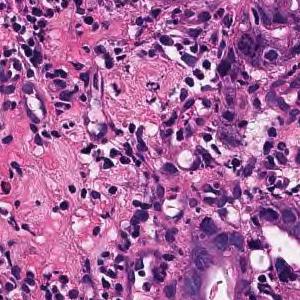
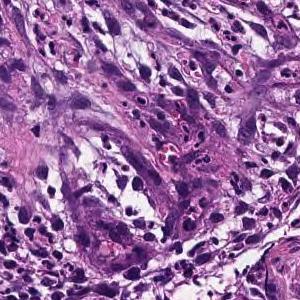
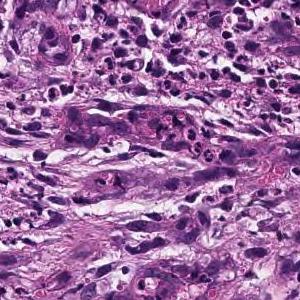
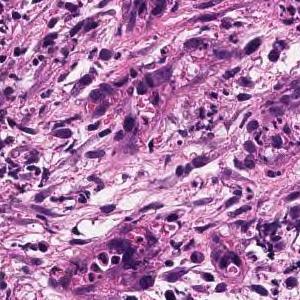
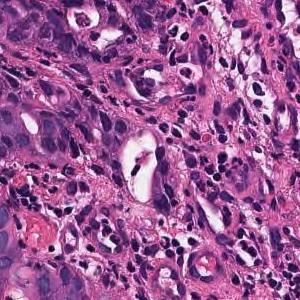
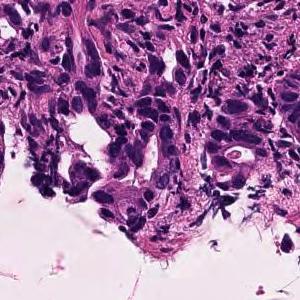
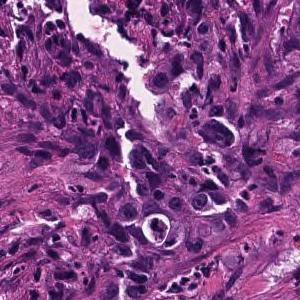
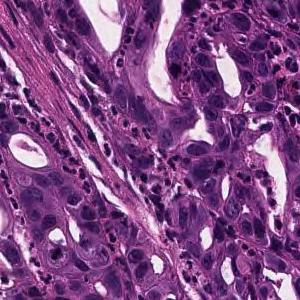
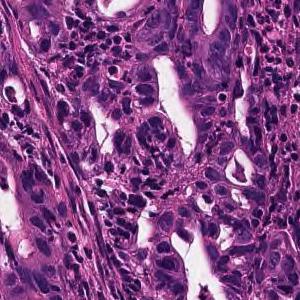
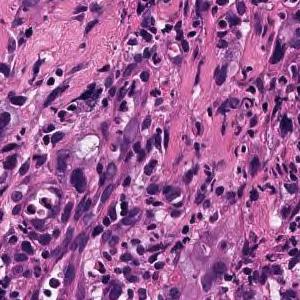
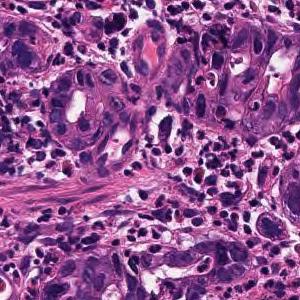
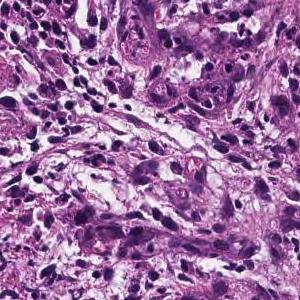
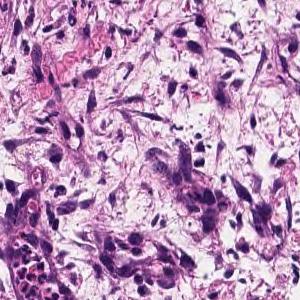
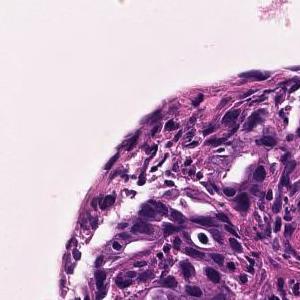
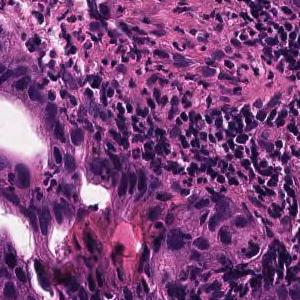
15 image tiles from a single gastric biopsy slide · 300 × 300 pixels each · scanned at ×20 · hematoxylin and eosin stain.
Pathology report for the biopsy slide these tiles were cut from. The findings and the diagnosis refer to the entire slide; these tiles show only part of it, possibly with non-tumor tissue, and may not show every feature named.
In the superficial epithelium, medium-sized to small irregular glandular ducts are formed, and in some cases, the glandular ducts are fused or small cord-like infiltrating tumor tissue is observed. moderately differentiated tubular adenocarcinoma
